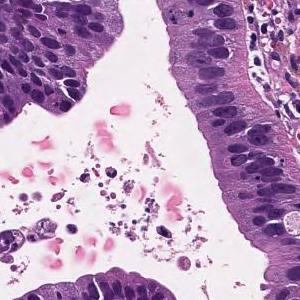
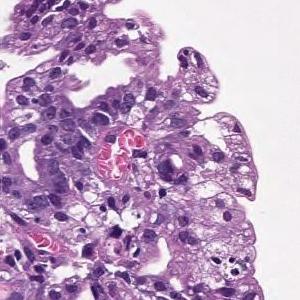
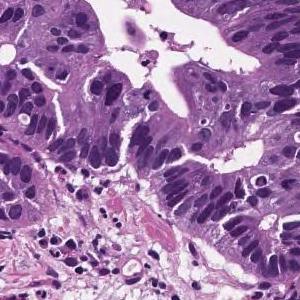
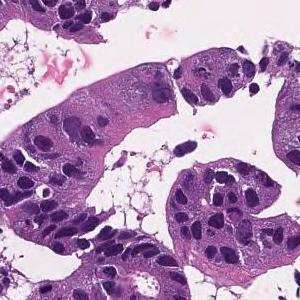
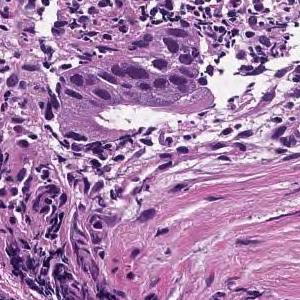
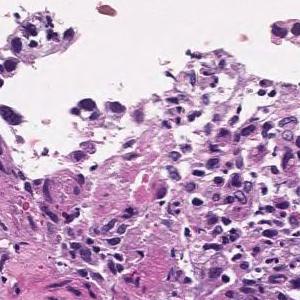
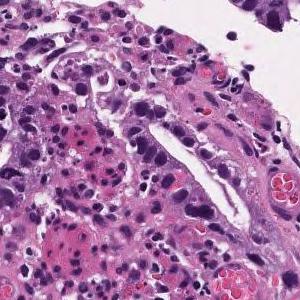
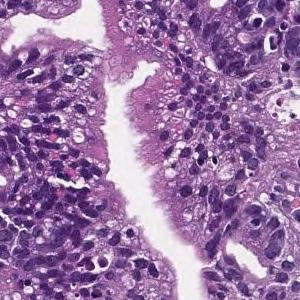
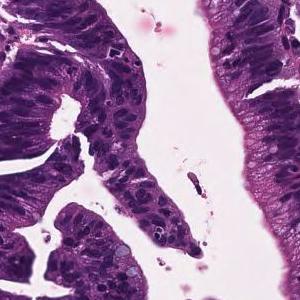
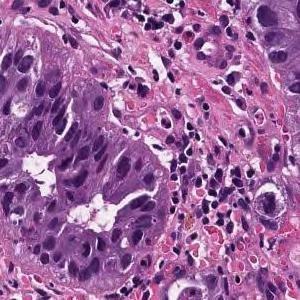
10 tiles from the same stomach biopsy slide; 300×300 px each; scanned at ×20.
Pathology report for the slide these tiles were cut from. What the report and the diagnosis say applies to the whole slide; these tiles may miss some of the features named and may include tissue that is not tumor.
Tumor cells are large, highly columnar, large club-shaped nuclei, and are associated with chromatin aggregation. Papillary adenocarcinoma.
